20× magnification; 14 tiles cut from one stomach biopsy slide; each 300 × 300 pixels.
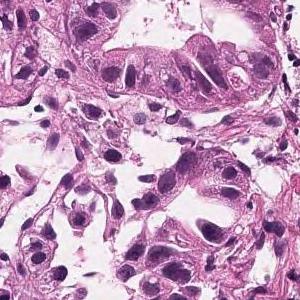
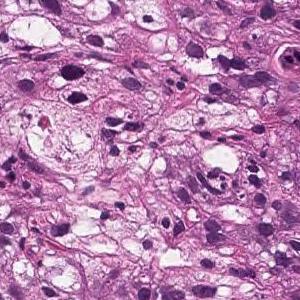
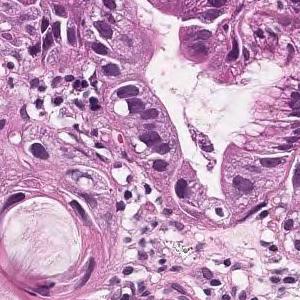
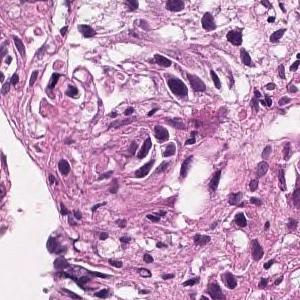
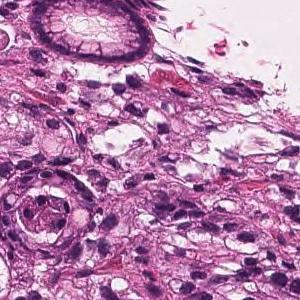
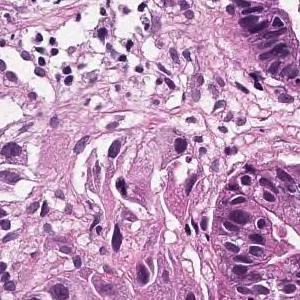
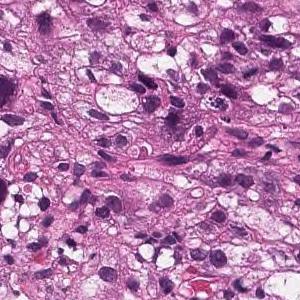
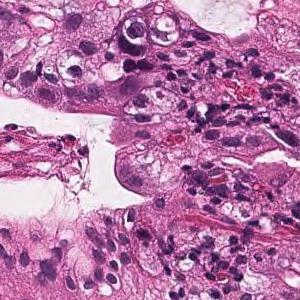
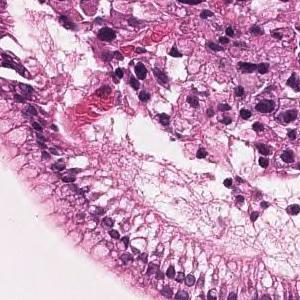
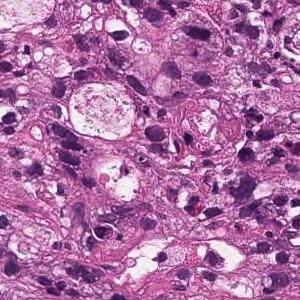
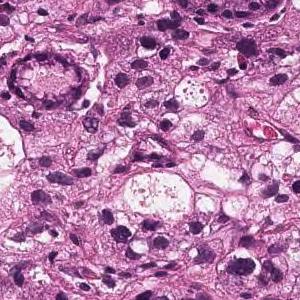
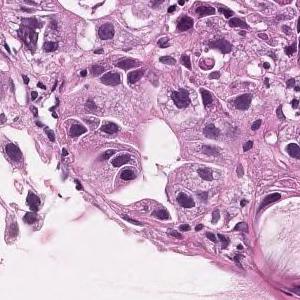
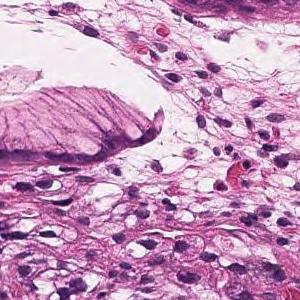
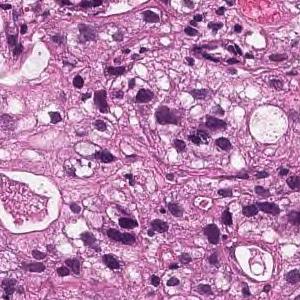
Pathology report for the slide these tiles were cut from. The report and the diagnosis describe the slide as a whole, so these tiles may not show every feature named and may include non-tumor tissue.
Medium to small, irregular glandular ducts are formed in the superficial epithelium, and in some cases, the glandular ducts are fused to show solid alveolar lesions and infiltrating tumor tissue is observed. Moderately to poorly differentiated adenocarcinoma.
